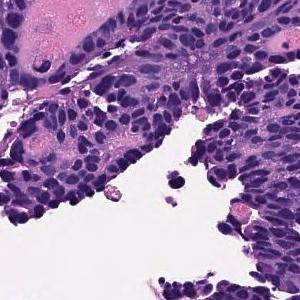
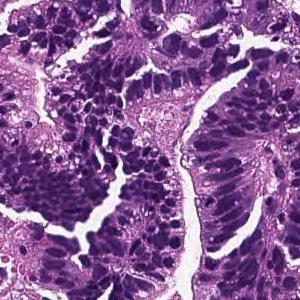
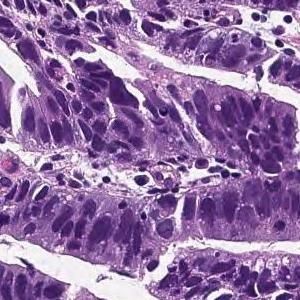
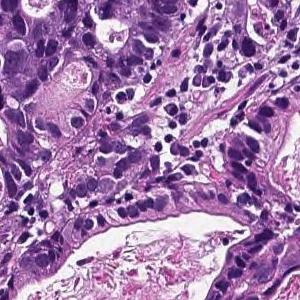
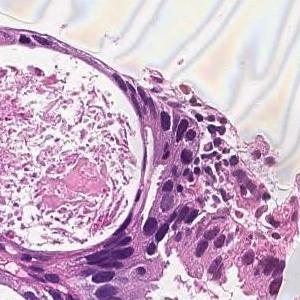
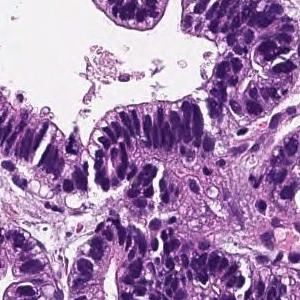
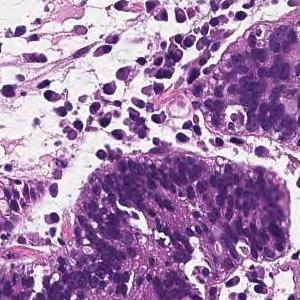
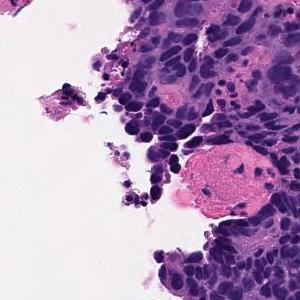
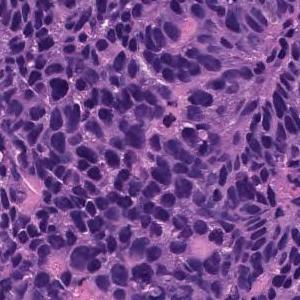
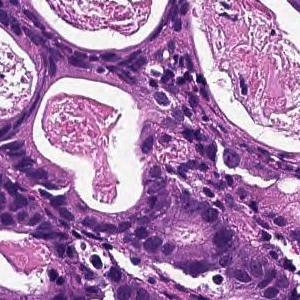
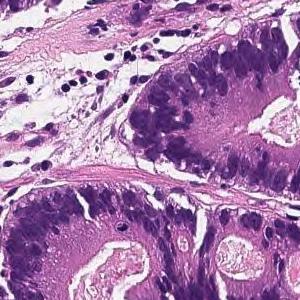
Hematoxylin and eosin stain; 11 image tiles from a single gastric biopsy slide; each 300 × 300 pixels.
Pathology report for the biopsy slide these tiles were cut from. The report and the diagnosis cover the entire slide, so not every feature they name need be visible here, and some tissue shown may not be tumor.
In the superficial epithelium, tumor tissue that invades by forming medium-sized to small, irregular ducts is observed. moderately differentiated tubular adenocarcinoma.
